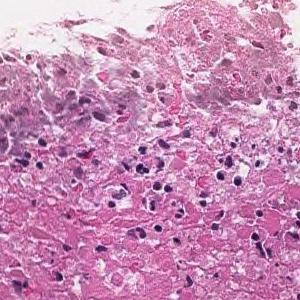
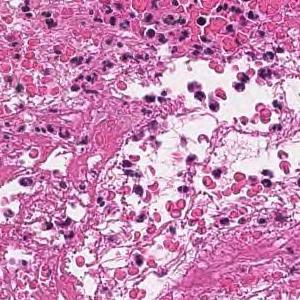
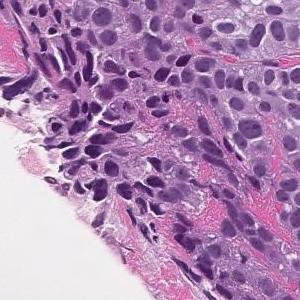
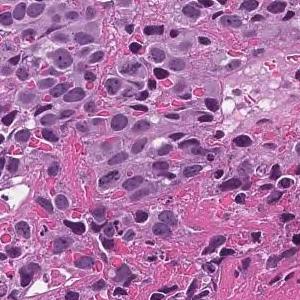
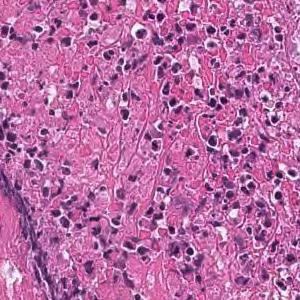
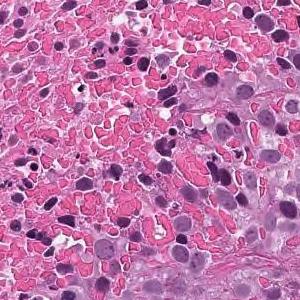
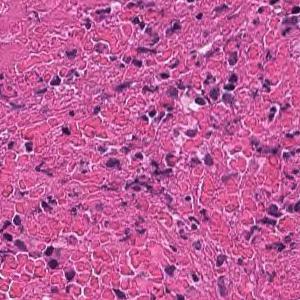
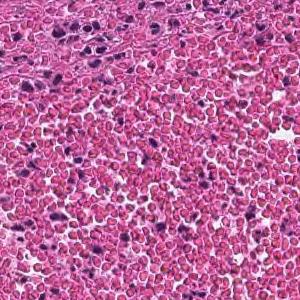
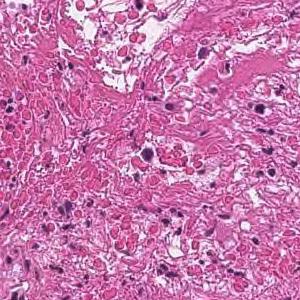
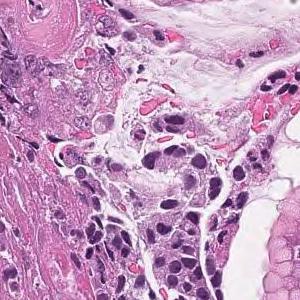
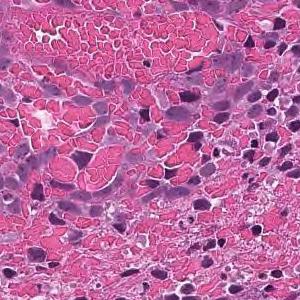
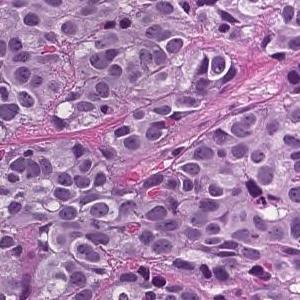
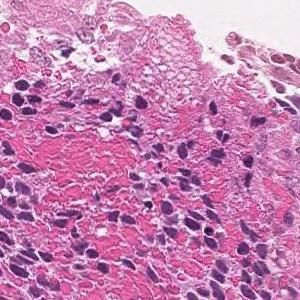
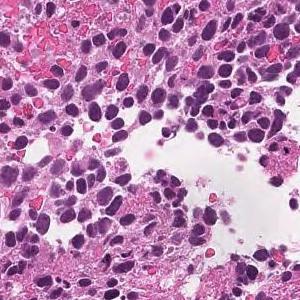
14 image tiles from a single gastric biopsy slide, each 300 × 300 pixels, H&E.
Diagnostic report for the slide these tiles come from. What the report and the diagnosis say applies to the whole slide; these tiles may miss some of the features named and may include tissue that is not tumor.
The superficial epithelium shows a large sheet-like shape, and some tumor tissue infiltrates with small irregular ducts. Poorly differentiated adenocarcinoma, solid-type
Histological subtype: Poorly differentiated adenocarcinoma, solid type, a category of the Japanese Classification of Gastric Carcinoma; in the WHO 2019 classification it is tubular adenocarcinoma, poorly differentiated.
